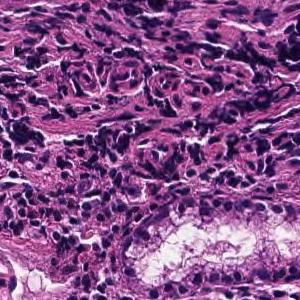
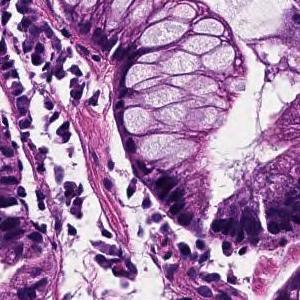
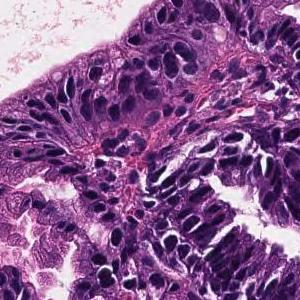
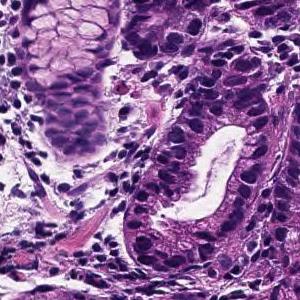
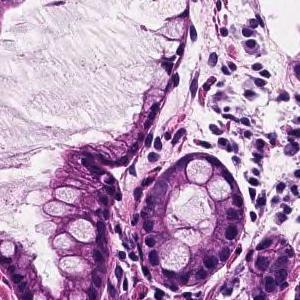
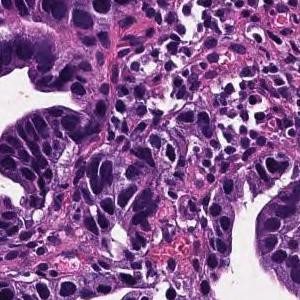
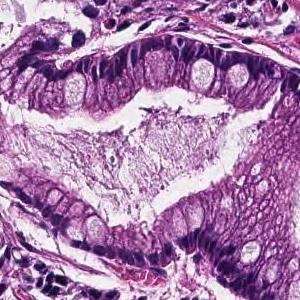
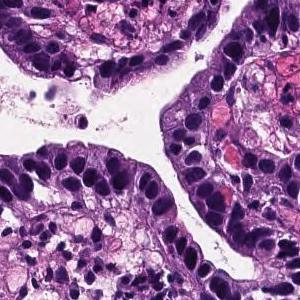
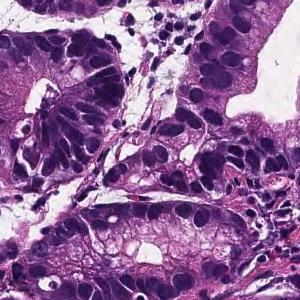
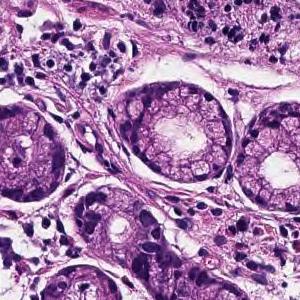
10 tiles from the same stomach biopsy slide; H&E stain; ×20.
Pathology report for the slide these tiles were cut from. Both the report and the diagnosis are for the whole slide: these tiles need not show every feature named, and some of the tissue shown may not be tumor.
Tumor cells are large, highly columnar, large club-shaped nuclei, and are associated with chromatin aggregation. Papillary adenocarcinoma.
